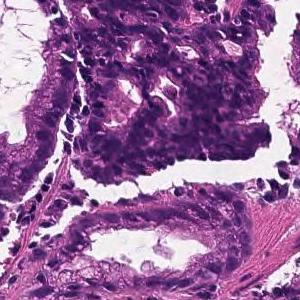
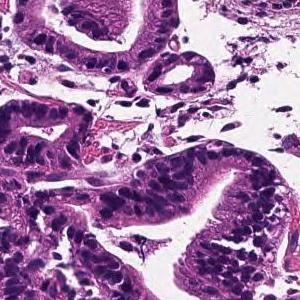
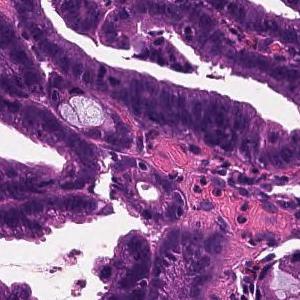
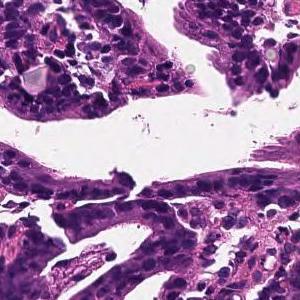
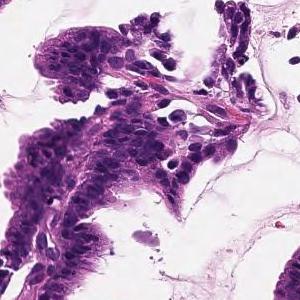
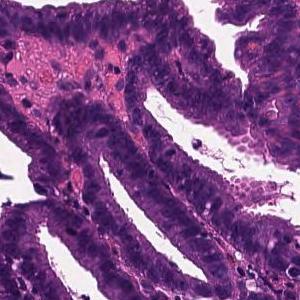
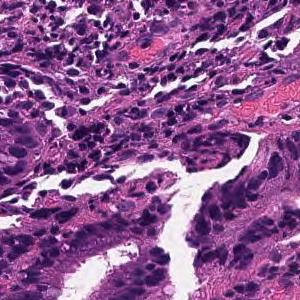
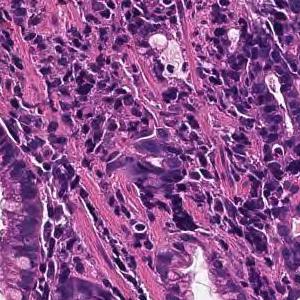
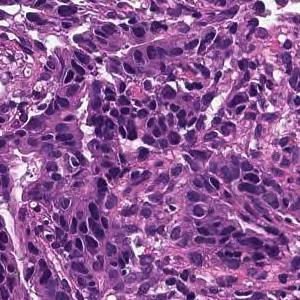
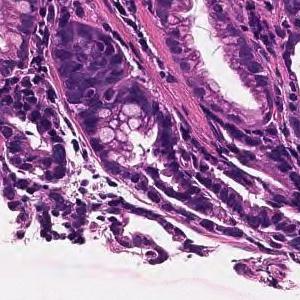
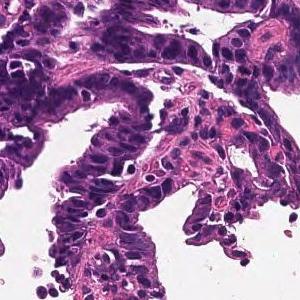
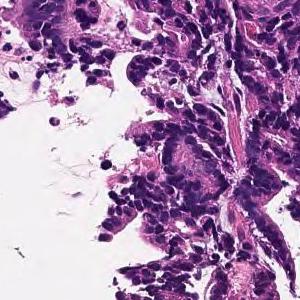
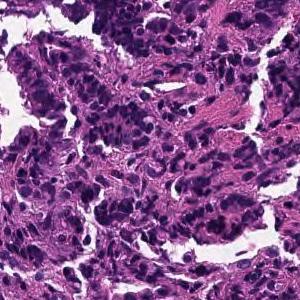
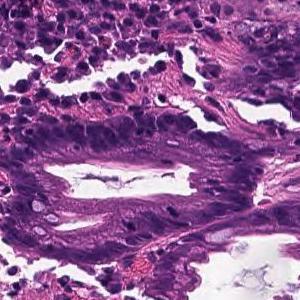
14 tiles from the same stomach biopsy slide, 300 × 300 pixels each, H&E stain.
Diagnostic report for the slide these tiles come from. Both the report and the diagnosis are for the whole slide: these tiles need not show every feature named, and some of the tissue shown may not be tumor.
Medium to small, irregular glandular ducts are formed in the superficial epithelium, and some tumor tissues show small cords and infiltrate. moderately differentiated tubular adenocarcinoma or Poorly differentiated adenocarcinoma, non-solid type
The dataset labels this slide moderately differentiated tubular adenocarcinoma.
The term "non-solid type" comes from the Japanese Classification of Gastric Carcinoma.
